×20; hematoxylin and eosin stain; 13 image tiles from a single gastric biopsy slide; 300×300 px each.
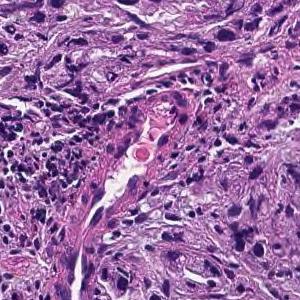
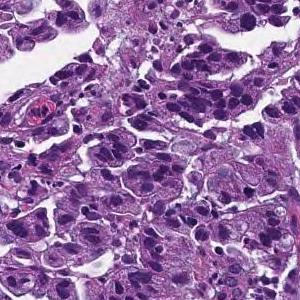
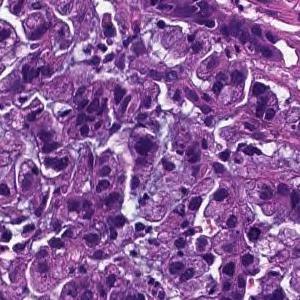
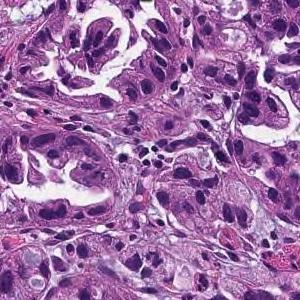
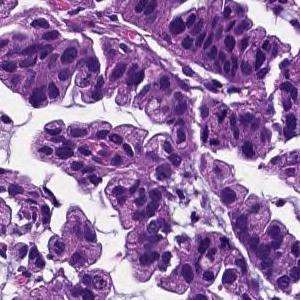
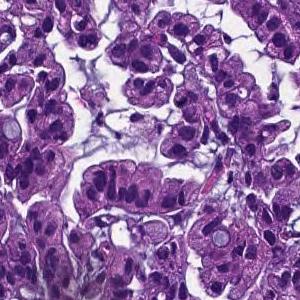
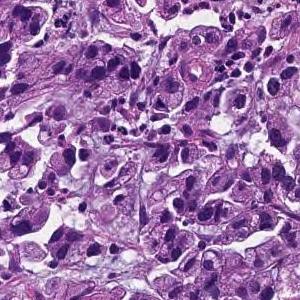
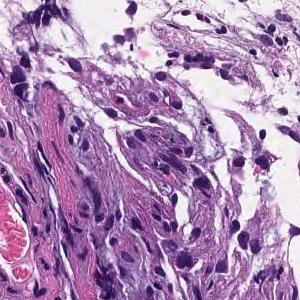
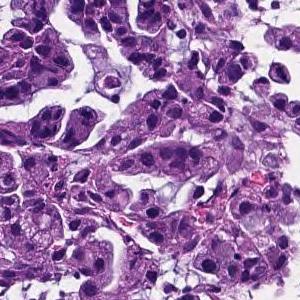
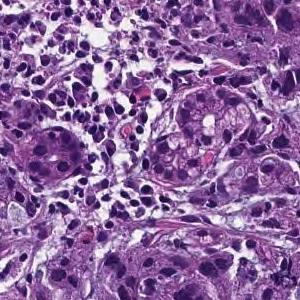
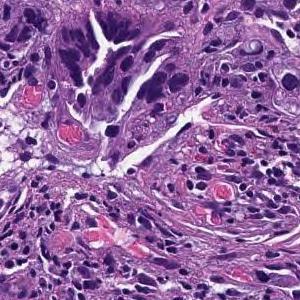
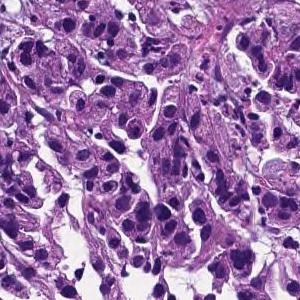
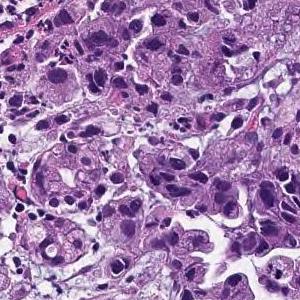
Report on the slide these tiles come from. The report and the diagnosis cover the entire slide, so not every feature they name need be visible here, and some tissue shown may not be tumor.
Tumor tissue consisting of medium-sized, cord-like or irregular glandular infiltration is observed in the superficial epithelium. Poorly differentiated adenocarcinoma, non-solid type or moderately differentiated tubular adenocarcinoma
Histological subtype: Moderately to poorly differentiated adenocarcinoma.
The non-solid type named here is a Japanese Classification of Gastric Carcinoma category.
